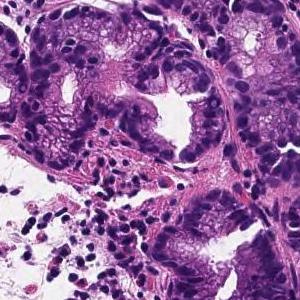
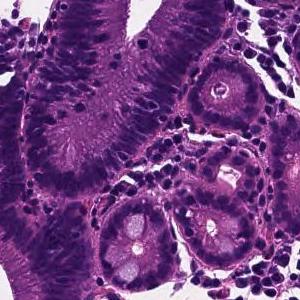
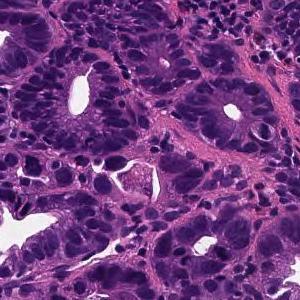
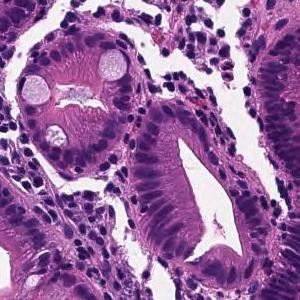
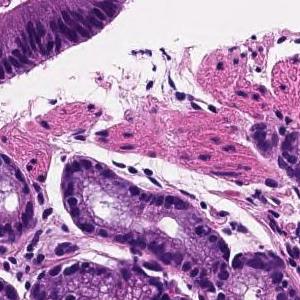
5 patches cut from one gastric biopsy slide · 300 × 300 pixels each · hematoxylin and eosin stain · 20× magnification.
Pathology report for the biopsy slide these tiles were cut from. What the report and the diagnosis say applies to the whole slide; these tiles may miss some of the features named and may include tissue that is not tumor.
Tumor tissue in which medium to small irregular ducts infiltrate and proliferate in the submucosa can be seen in the epithelium. Well differentiated tubular adenocarcinoma
